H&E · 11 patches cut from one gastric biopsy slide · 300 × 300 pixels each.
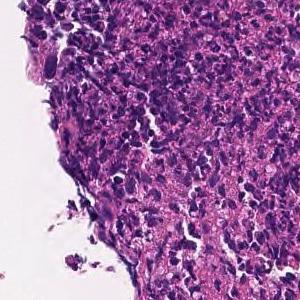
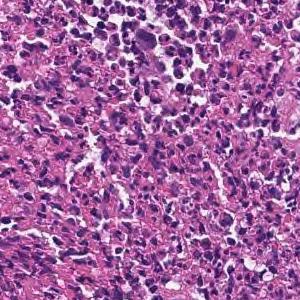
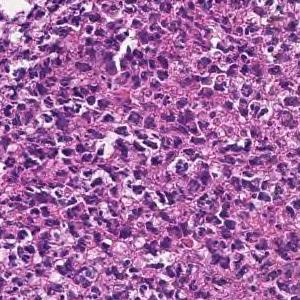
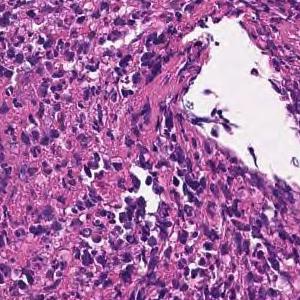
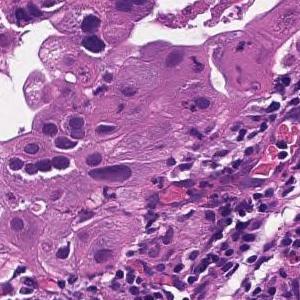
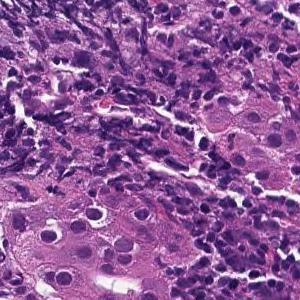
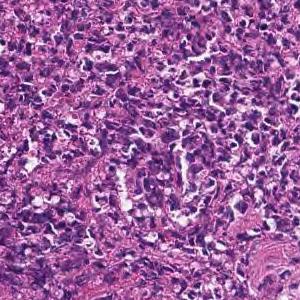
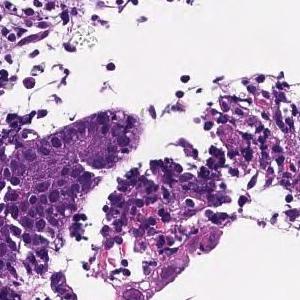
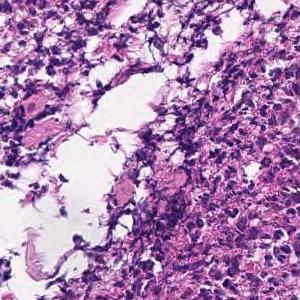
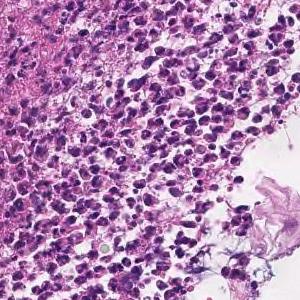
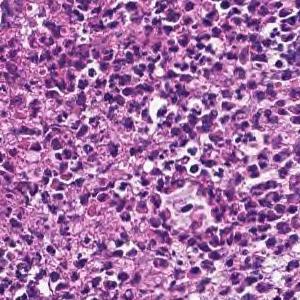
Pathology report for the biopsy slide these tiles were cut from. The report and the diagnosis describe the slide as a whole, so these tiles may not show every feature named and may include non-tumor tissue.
In the superficial epithelium, tumor tissue infiltrated by partial fusion of medium-sized to small, irregular glandular ducts is observed. moderately differentiated tubular adenocarcinoma
